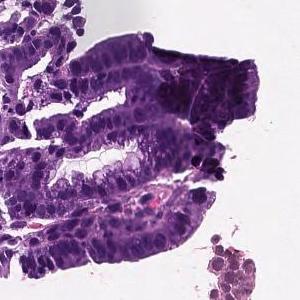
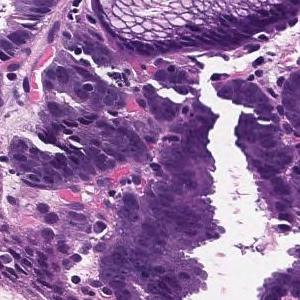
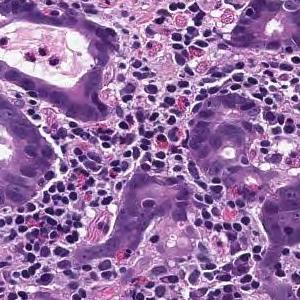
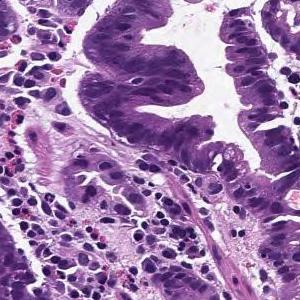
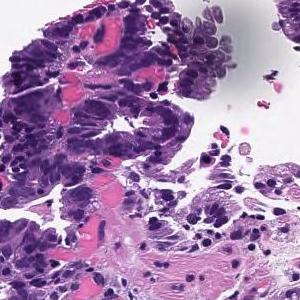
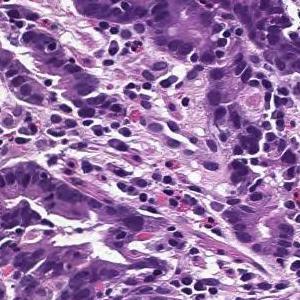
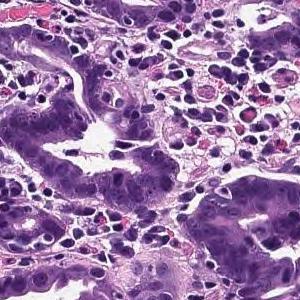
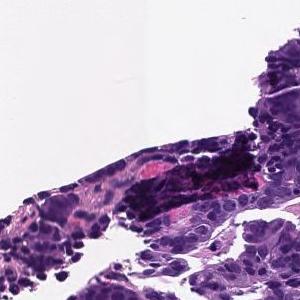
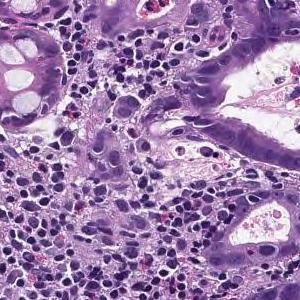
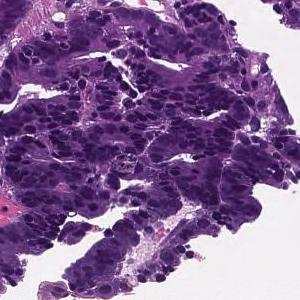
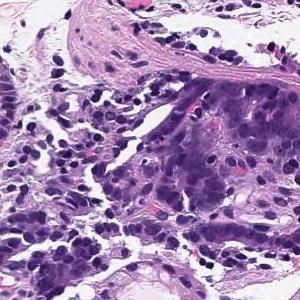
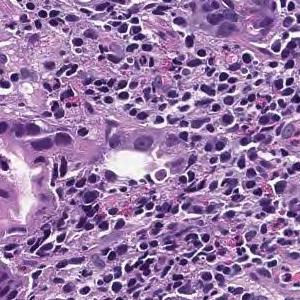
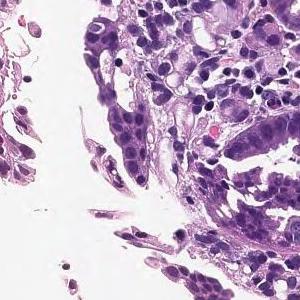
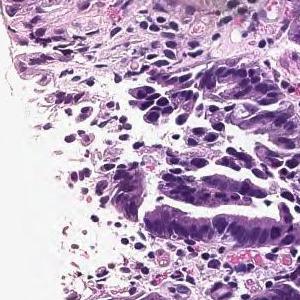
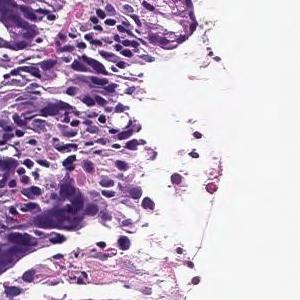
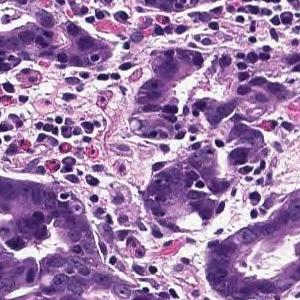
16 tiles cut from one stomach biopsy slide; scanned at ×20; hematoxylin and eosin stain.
Diagnostic report for the slide these tiles come from. The report and the diagnosis describe the slide as a whole, so these tiles may not show every feature named and may include non-tumor tissue.
In the superficial epithelium, tumor tissue that invades by forming medium-sized to small, irregular ducts is observed. moderately differentiated tubular adenocarcinoma.
